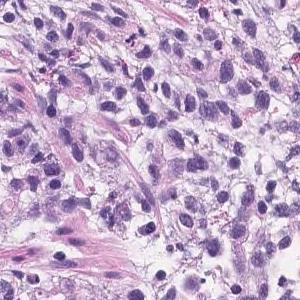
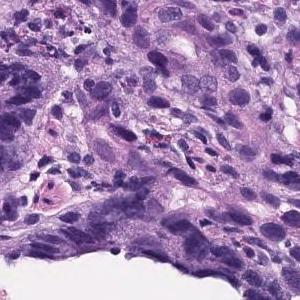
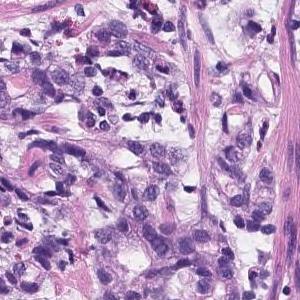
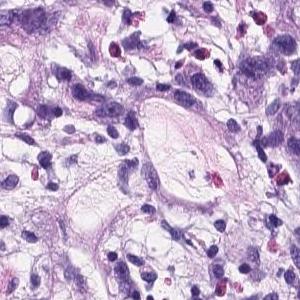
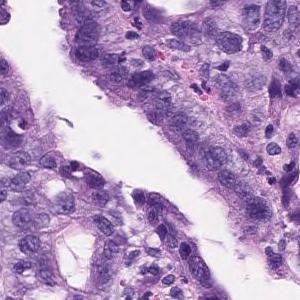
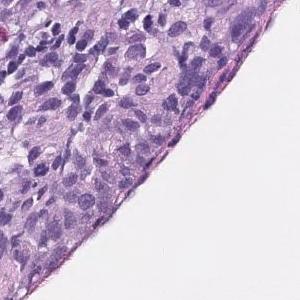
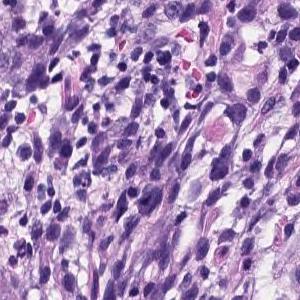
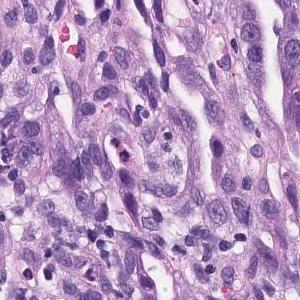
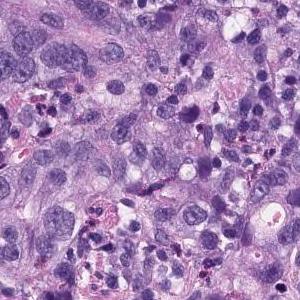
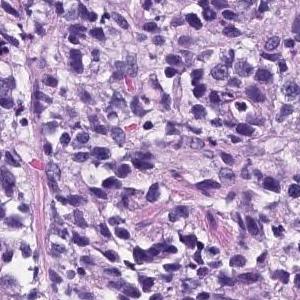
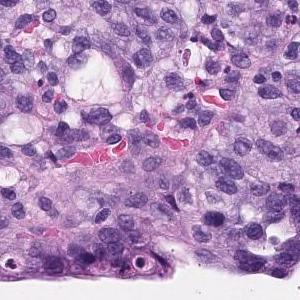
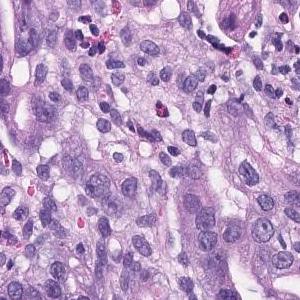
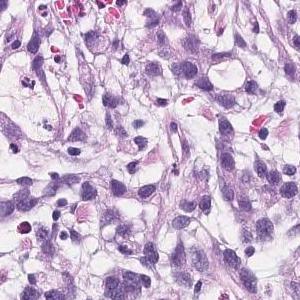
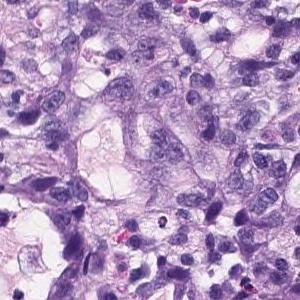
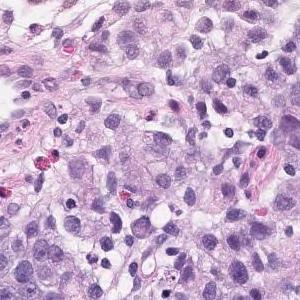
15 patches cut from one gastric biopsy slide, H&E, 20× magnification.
The pathologist's report on the biopsy slide these tiles were taken from. The findings and the diagnosis refer to the entire slide; these tiles show only part of it, possibly with non-tumor tissue, and may not show every feature named.
There are atypical l cells with atypical nuclei forming cord-like or irregular atypical ducts from solidity and proliferating in a comprehensive manner. Poorly differentiated adenocarcinoma, Moderately differentiated adenocarcinoma (poorly differentiated adenocarcinoma, solid type moderately differentiated tubular adenocarcinoma)
Tumor subtype: moderately to poorly differentiated adenocarcinoma.
The term "solid type" comes from the Japanese Classification of Gastric Carcinoma; the WHO 2019 equivalent is tubular adenocarcinoma, poorly differentiated.
